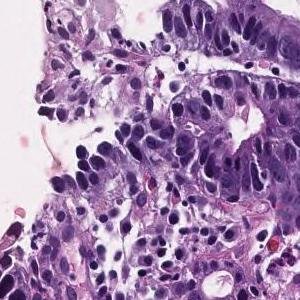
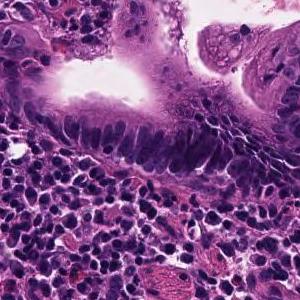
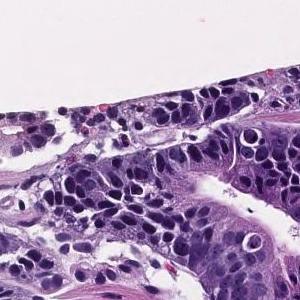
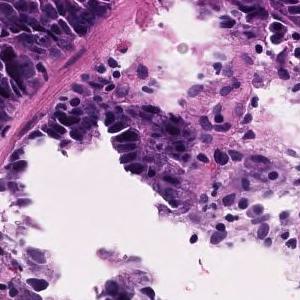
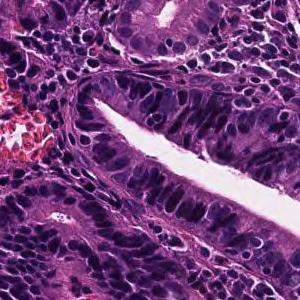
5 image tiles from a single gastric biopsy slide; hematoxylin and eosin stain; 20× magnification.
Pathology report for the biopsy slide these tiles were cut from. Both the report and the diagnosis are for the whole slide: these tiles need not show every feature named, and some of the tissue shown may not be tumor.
On the superficial epithelium, tumor tissue consisting of growth of medium-sized to large-sized, round or irregular glandular ducts is observed. Well differentiated tubular adenocarcinoma
